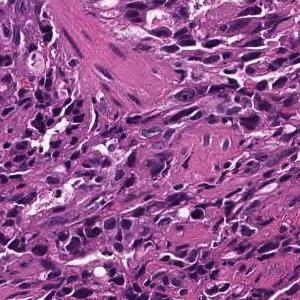
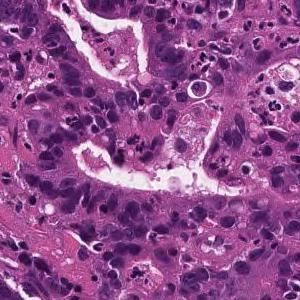
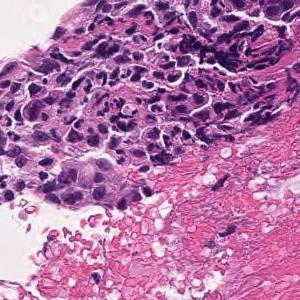
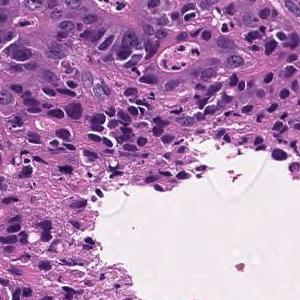
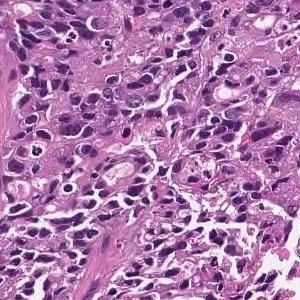
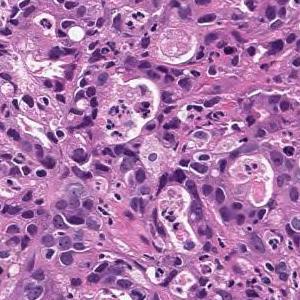
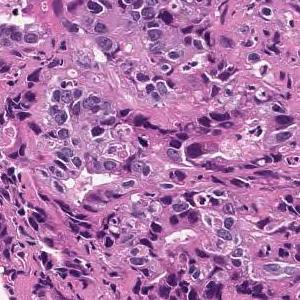
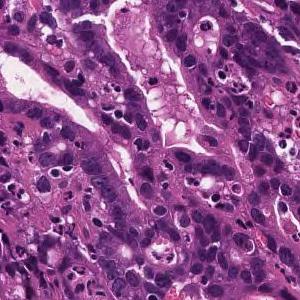
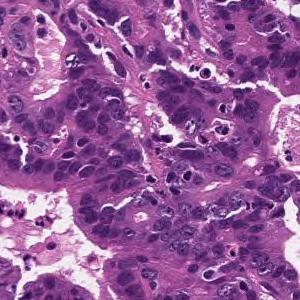
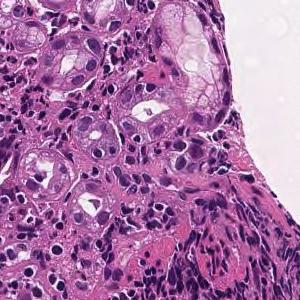
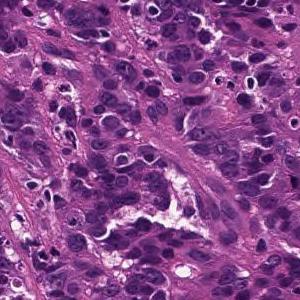
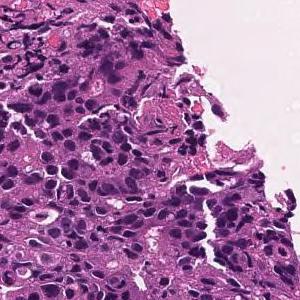
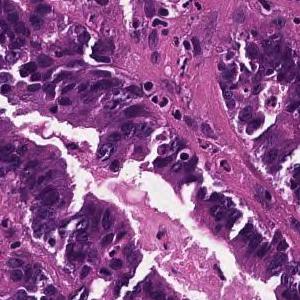
20× magnification, H&E stain, 13 tiles from the same stomach biopsy slide, 300×300 px each.
Pathology report for the slide these tiles were cut from. What the report and the diagnosis say applies to the whole slide; these tiles may miss some of the features named and may include tissue that is not tumor.
In the superficial epithelium, tumor tissue that invades by forming medium-sized to small, irregular ducts is observed. moderately differentiated tubular adenocarcinoma.
